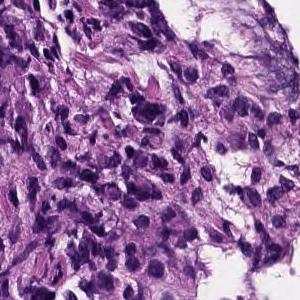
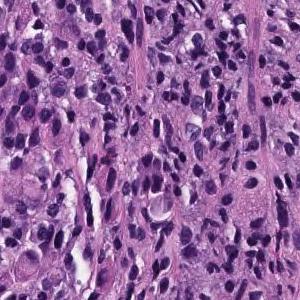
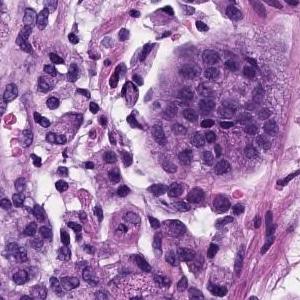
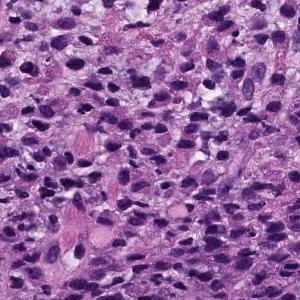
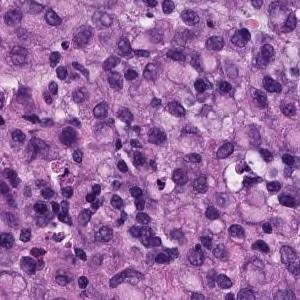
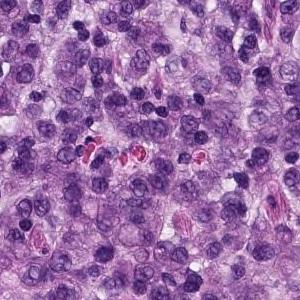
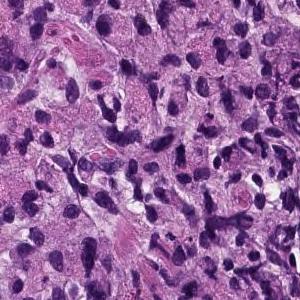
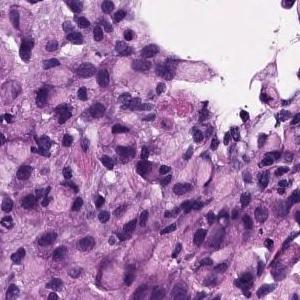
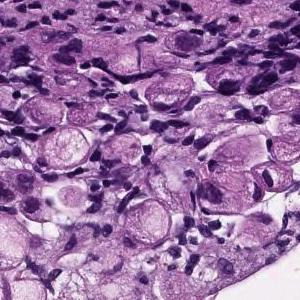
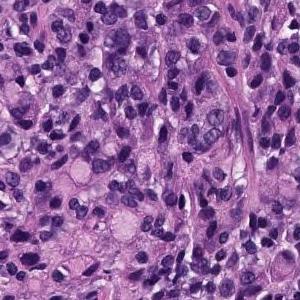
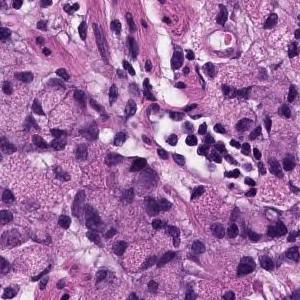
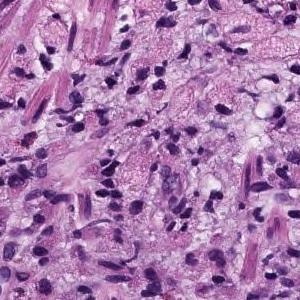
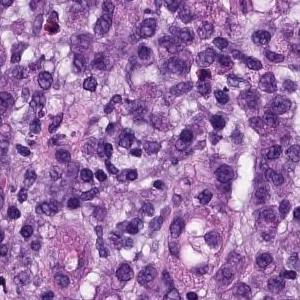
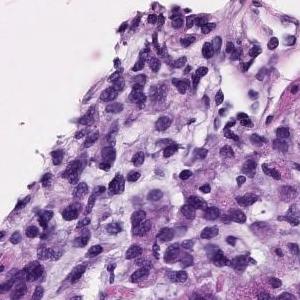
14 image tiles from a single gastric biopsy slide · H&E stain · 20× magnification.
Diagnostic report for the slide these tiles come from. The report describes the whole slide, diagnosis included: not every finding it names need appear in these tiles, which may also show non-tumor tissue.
The superficial epithelium shows a large sheet-like shape, and some tumor tissue infiltrates with small irregular ducts. Poorly differentiated adenocarcinoma, solid-type
Tumor subtype: poorly differentiated adenocarcinoma, solid type. This name comes from the Japanese Classification of Gastric Carcinoma; the WHO 2019 classification calls it tubular adenocarcinoma, poorly differentiated.
